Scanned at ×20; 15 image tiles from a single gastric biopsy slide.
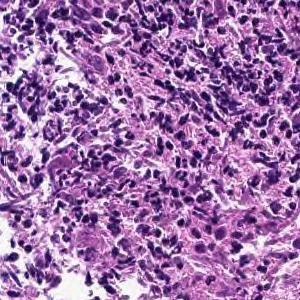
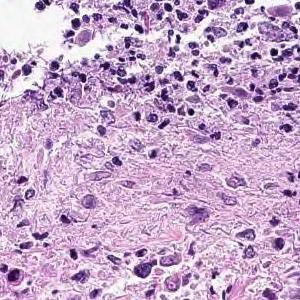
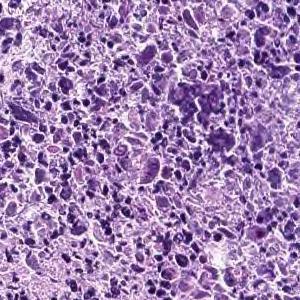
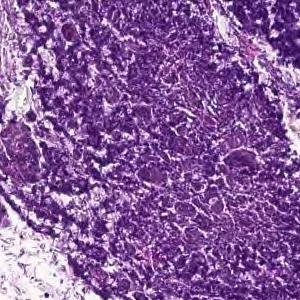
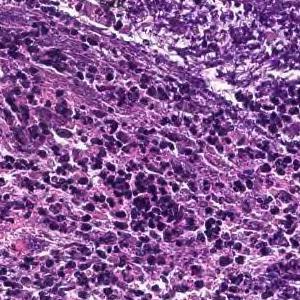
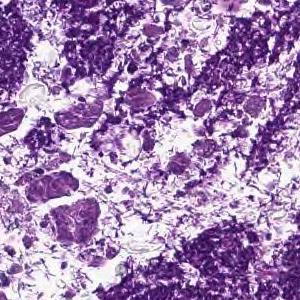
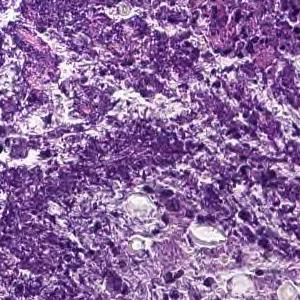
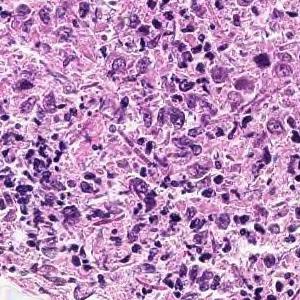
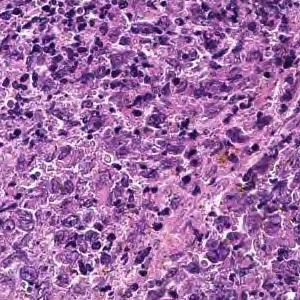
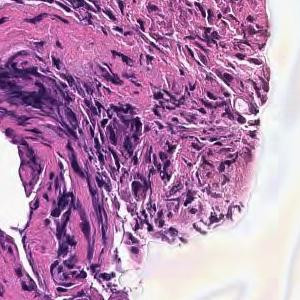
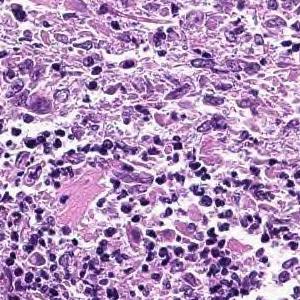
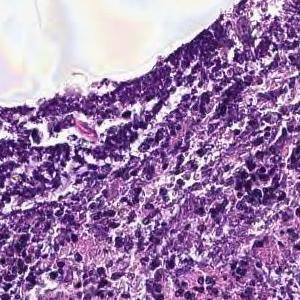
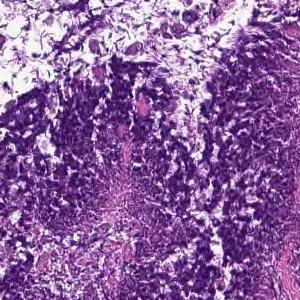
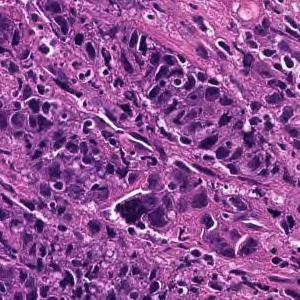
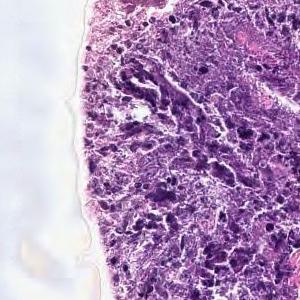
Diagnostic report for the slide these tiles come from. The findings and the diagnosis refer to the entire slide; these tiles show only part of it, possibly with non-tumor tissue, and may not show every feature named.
Cancers with polygonal nuclei do not show glandular formation and are densely, in part, cord-like and proliferate. Poorly differentiated adenocarcinoma
Subtype: Poorly differentiated adenocarcinoma, non-solid type.
The term "non-solid type" comes from the Japanese Classification of Gastric Carcinoma.
